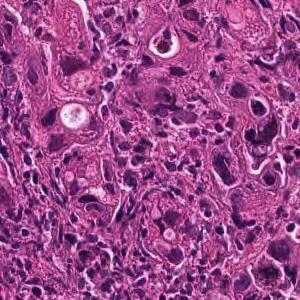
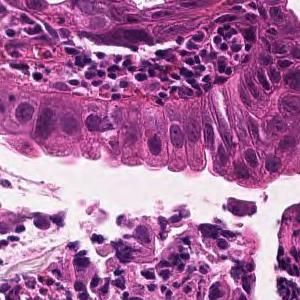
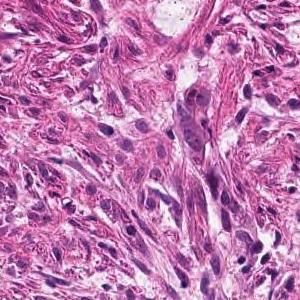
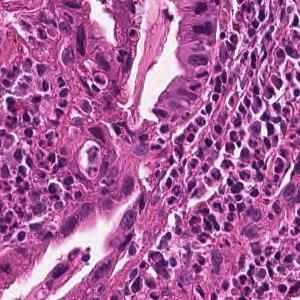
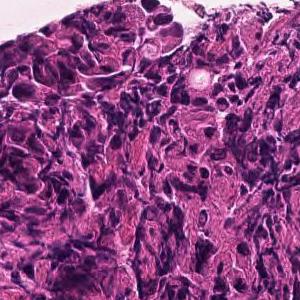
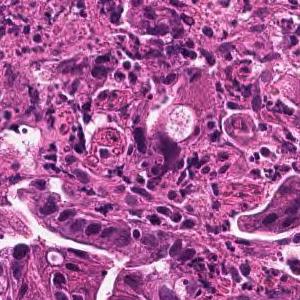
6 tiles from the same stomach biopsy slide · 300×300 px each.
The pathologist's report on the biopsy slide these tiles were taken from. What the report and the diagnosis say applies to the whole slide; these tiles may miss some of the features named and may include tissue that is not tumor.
Medium to small, irregular glandular ducts are formed in the superficial epithelium, and in some cases, the glandular ducts are fused to show solid alveolar lesions and infiltrating tumor tissue is observed. Moderately to poorly differentiated adenocarcinoma.
